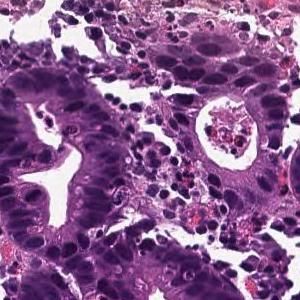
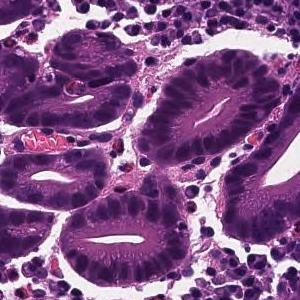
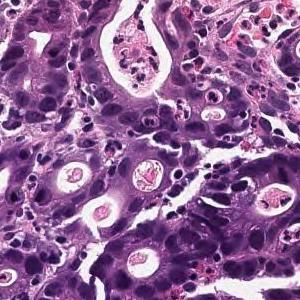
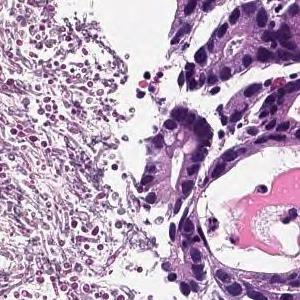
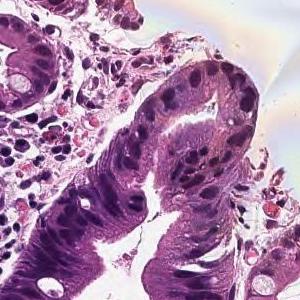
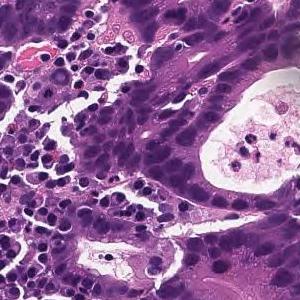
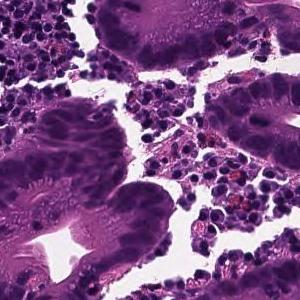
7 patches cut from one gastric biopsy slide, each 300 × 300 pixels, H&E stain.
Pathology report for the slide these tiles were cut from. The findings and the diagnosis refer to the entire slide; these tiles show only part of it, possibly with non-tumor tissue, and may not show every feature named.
Cancer cells with strongly atypical nuclei grow while forming ducts showing lumens of various sizes. moderately differentiated tubular adenocarcinoma
